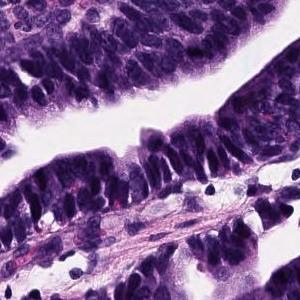
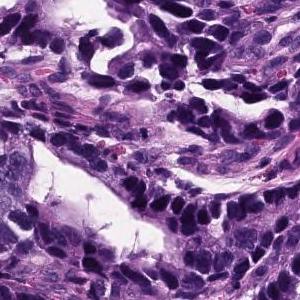
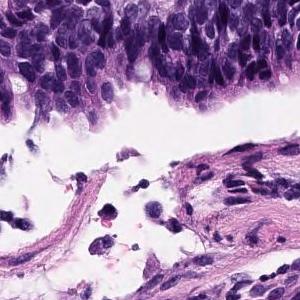
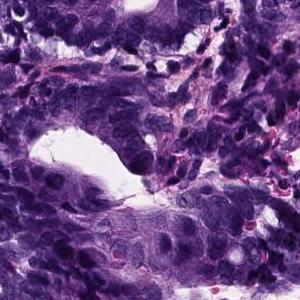
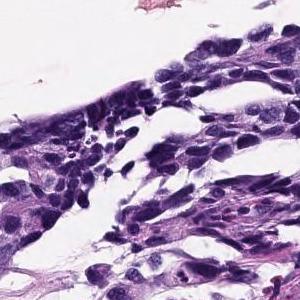
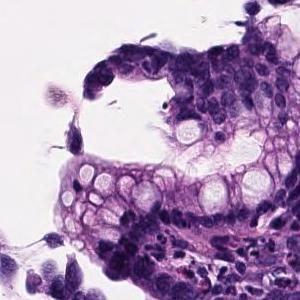
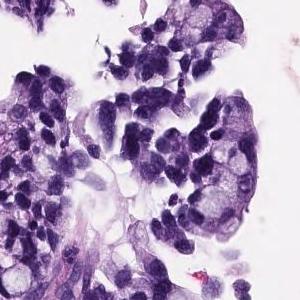
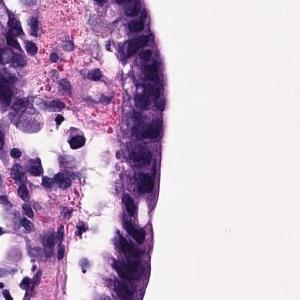
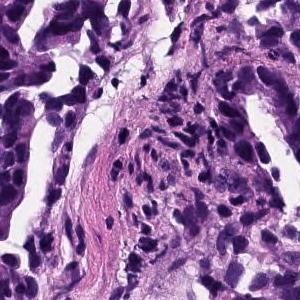
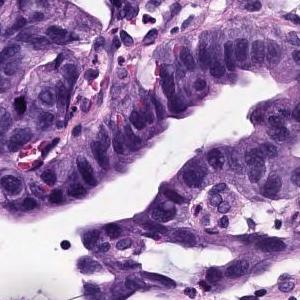
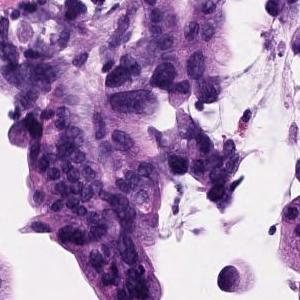
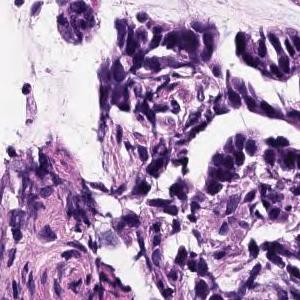
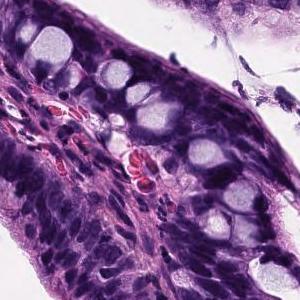
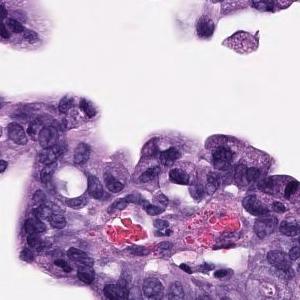
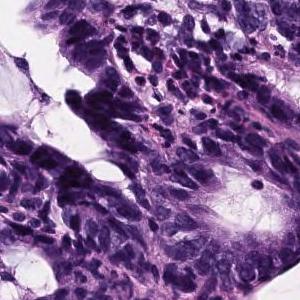
Hematoxylin and eosin stain; scanned at ×20; 15 tiles from the same stomach biopsy slide.
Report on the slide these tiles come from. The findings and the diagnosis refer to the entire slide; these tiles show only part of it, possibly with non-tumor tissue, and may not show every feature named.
Atypical epithelium proliferating showing villus construction and irregular gland duct construction is observed. Moderately differentiated tubular adenocarcinoma.
